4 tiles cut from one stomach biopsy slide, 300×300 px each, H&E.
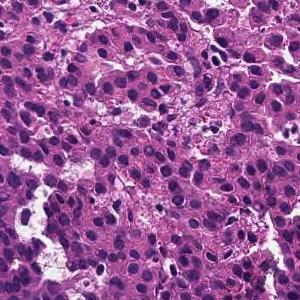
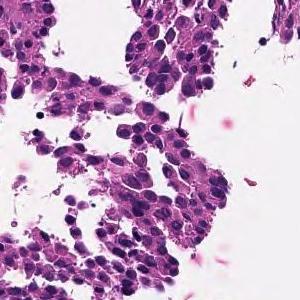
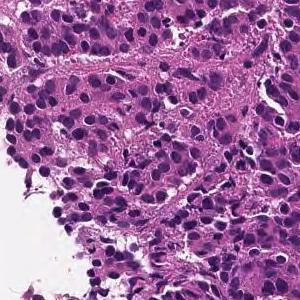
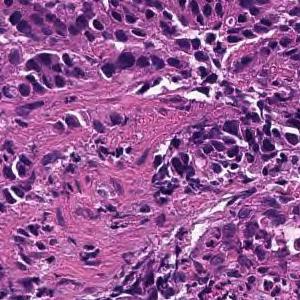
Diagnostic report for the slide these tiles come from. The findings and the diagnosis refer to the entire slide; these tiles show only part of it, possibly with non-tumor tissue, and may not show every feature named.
The superficial epithelium shows a large sheet-like shape, and some tumor tissue infiltrates with small irregular ducts. Poorly differentiated adenocarcinoma, solid-type
Tumor subtype: poorly differentiated adenocarcinoma, solid type (Japanese Classification of Gastric Carcinoma). The WHO 2019 equivalent is tubular adenocarcinoma, poorly differentiated.
